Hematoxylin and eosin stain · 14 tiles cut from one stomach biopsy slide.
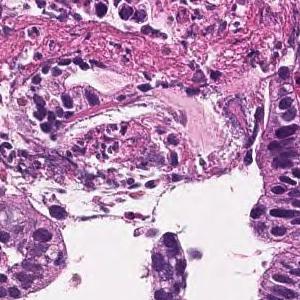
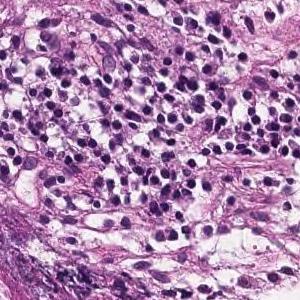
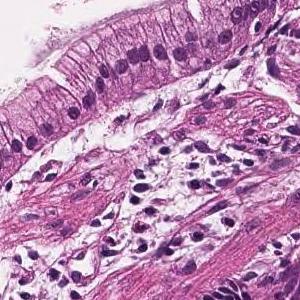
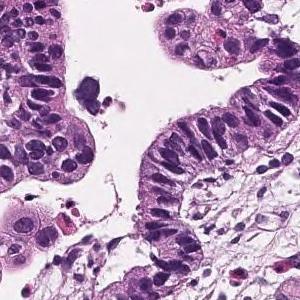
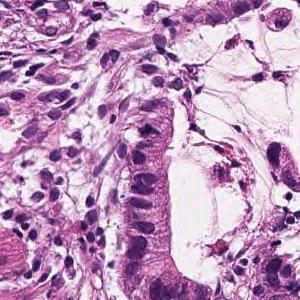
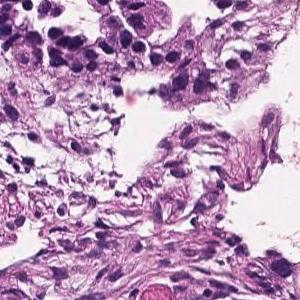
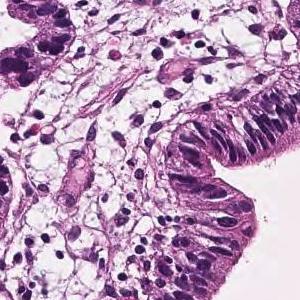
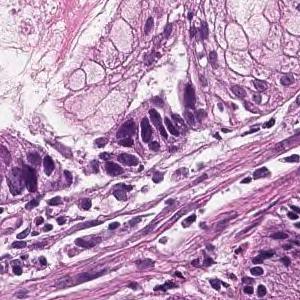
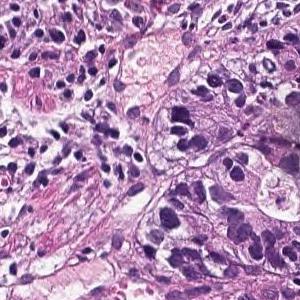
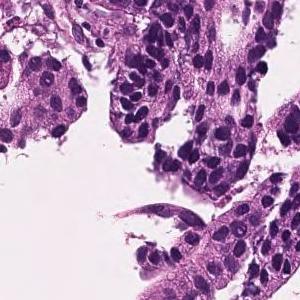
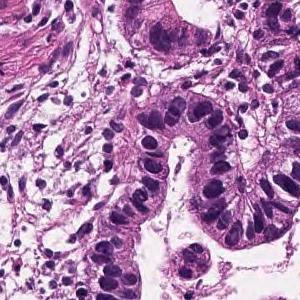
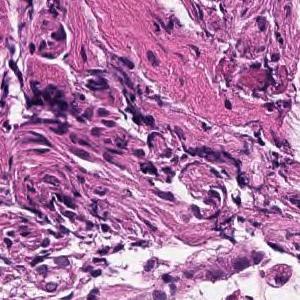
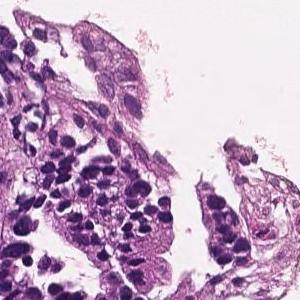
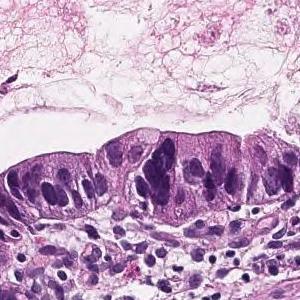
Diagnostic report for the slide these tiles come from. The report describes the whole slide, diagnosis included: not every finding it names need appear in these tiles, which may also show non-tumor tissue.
On the superficial epithelium, tumor tissue consisting of large, irregular glandular ducts partially fused and infiltrated is observed. Well to moderately differentiated tubular adenocarcinoma (well differentiated tubular adenocarcinoma, moderately differentiated tubular adenocarcinoma)
Histologic type: Well to moderately differentiated tubular adenocarcinoma.
